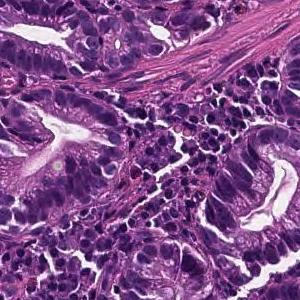
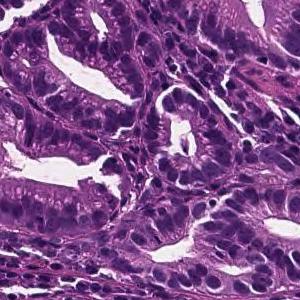
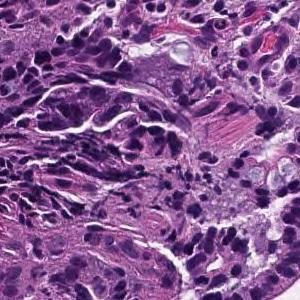
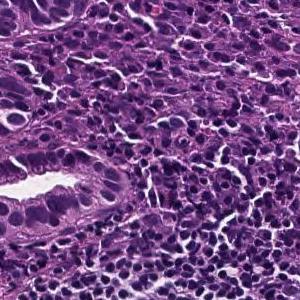
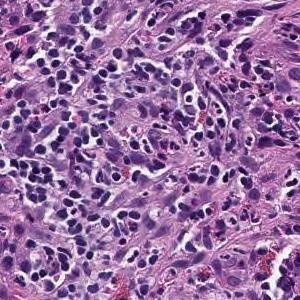
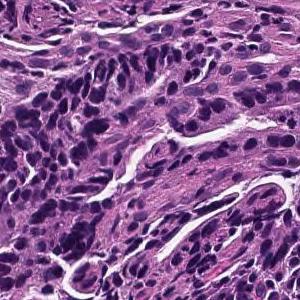
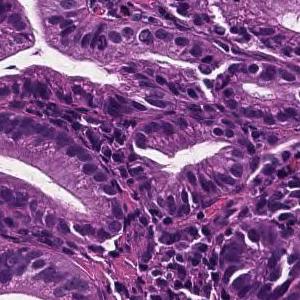
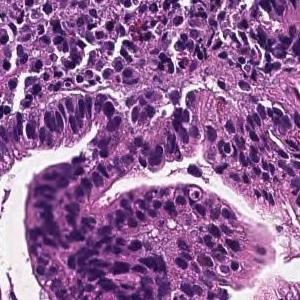
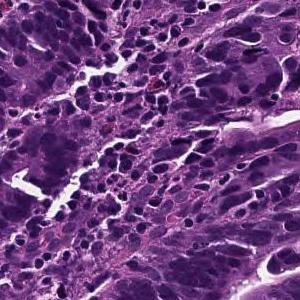
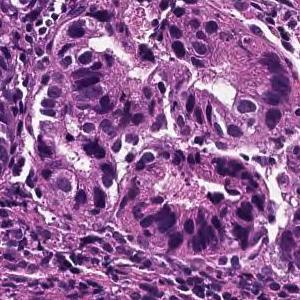
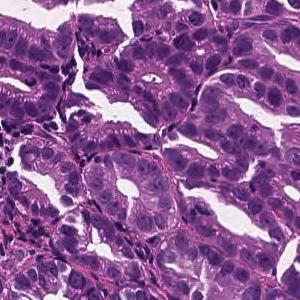
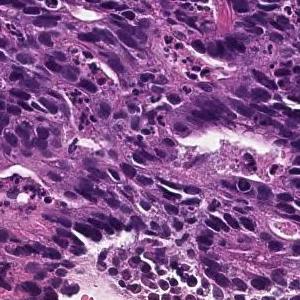
H&E stain; 12 tiles from the same stomach biopsy slide; 300×300 px each.
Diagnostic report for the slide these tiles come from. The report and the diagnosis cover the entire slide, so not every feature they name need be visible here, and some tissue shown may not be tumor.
On the superficial epithelium, tumor tissue consisting of large irregular glandular ducts partially fused and infiltrated is observed. Well to moderately differentiated tubular adenocarcinoma (well differentiated tubular adenocarcinoma, moderately differentiated tubular adenocarcinoma)
Subtype: Well to moderately differentiated tubular adenocarcinoma.
